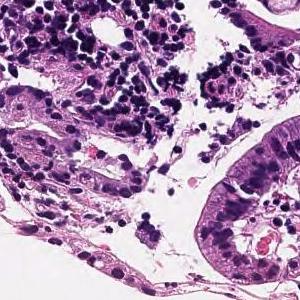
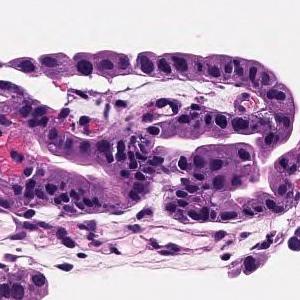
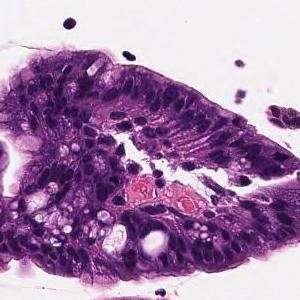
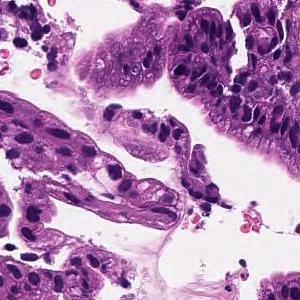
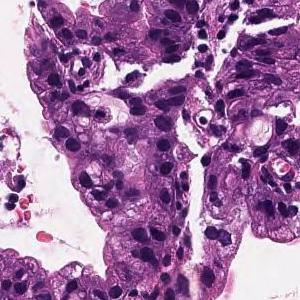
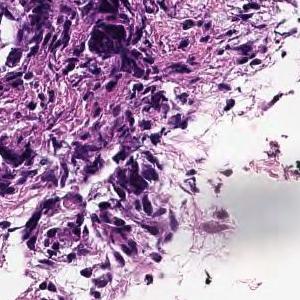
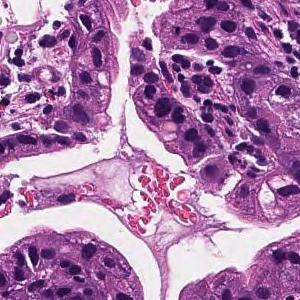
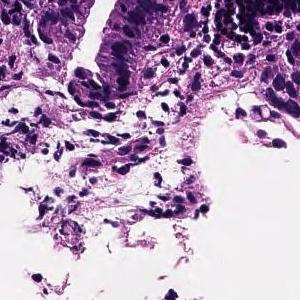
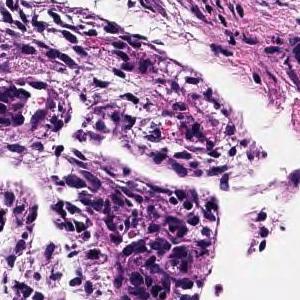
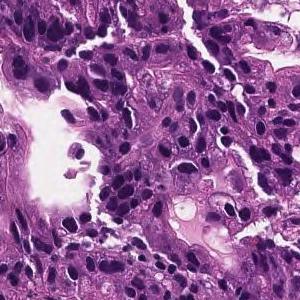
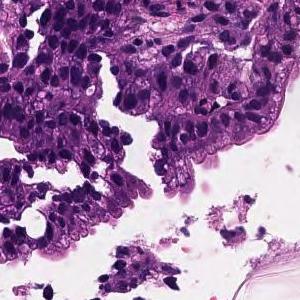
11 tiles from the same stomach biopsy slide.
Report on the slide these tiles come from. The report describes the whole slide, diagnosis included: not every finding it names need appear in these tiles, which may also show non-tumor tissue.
On the superficial epithelium, tumor tissue that infiltrates by forming medium-sized papillary or small irregular ducts is observed. Papillary adenocarcinoma
